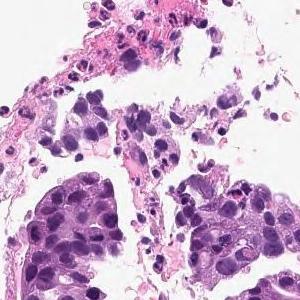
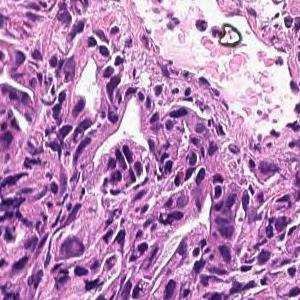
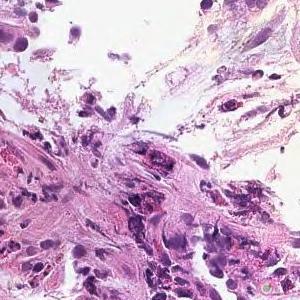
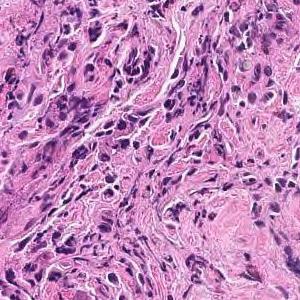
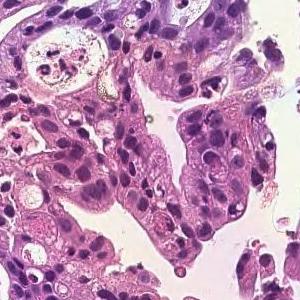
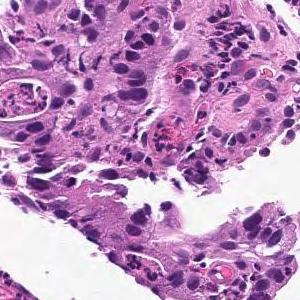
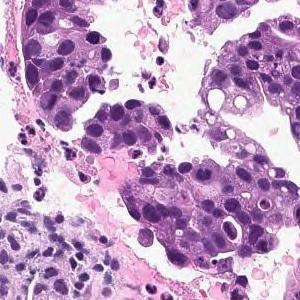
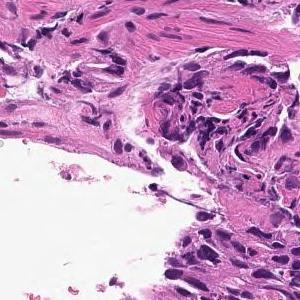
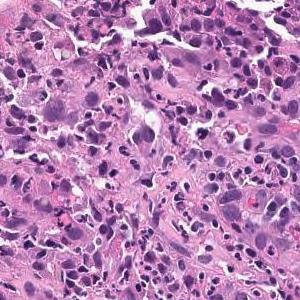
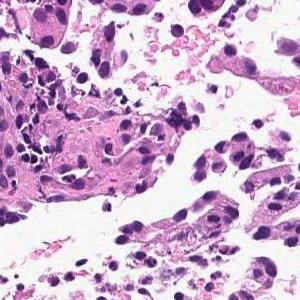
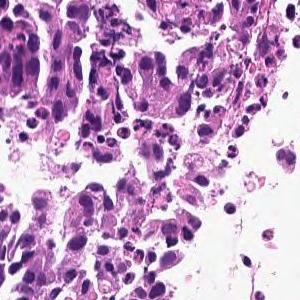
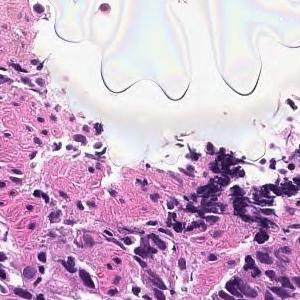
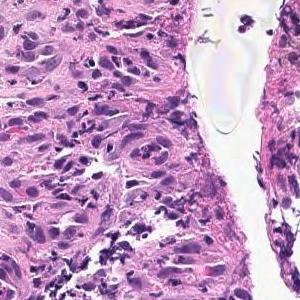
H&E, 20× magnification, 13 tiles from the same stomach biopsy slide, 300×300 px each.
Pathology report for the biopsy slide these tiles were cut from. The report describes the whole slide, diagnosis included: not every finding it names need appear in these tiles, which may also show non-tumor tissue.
On the superficial epithelium, tumor tissue consisting of large irregular glandular ducts partially fused and infiltrated is observed. Well to moderately differentiated tubular adenocarcinoma (well differentiated tubular adenocarcinoma, moderately differentiated tubular adenocarcinoma)
Classified as well to moderately differentiated tubular adenocarcinoma.
